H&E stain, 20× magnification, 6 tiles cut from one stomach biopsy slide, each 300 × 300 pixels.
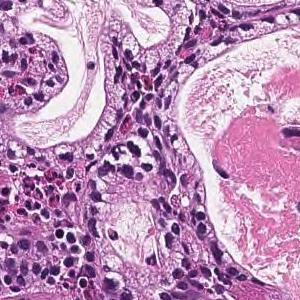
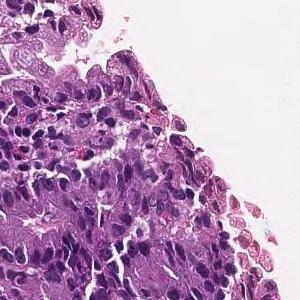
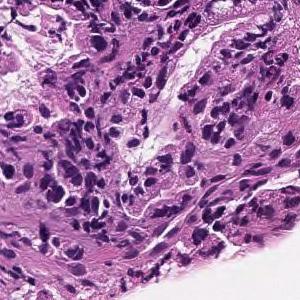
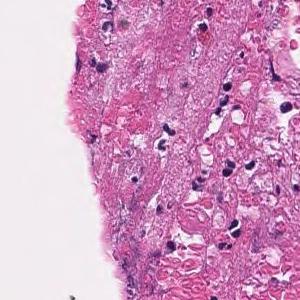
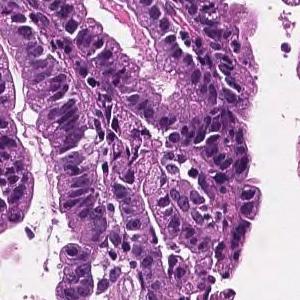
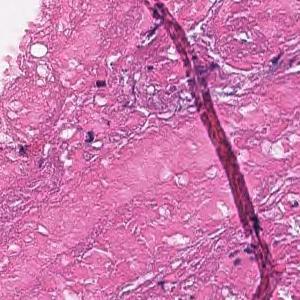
Diagnostic report for the slide these tiles come from. The report and the diagnosis describe the slide as a whole, so these tiles may not show every feature named and may include non-tumor tissue.
On the superficial epithelium, tumor tissue that infiltrates by forming medium-sized papillary or small irregular ducts is observed. Papillary adenocarcinoma
